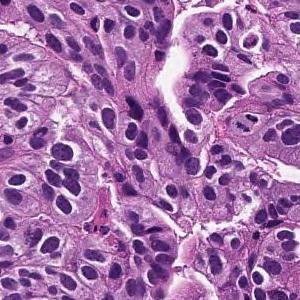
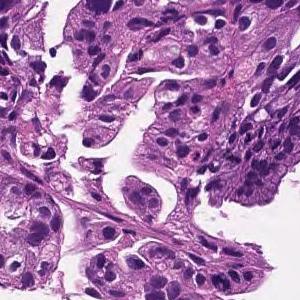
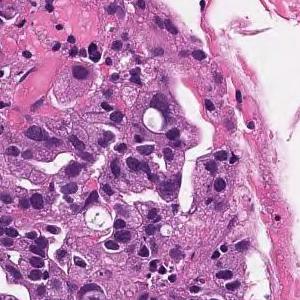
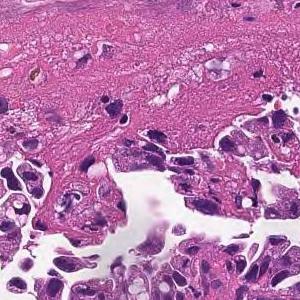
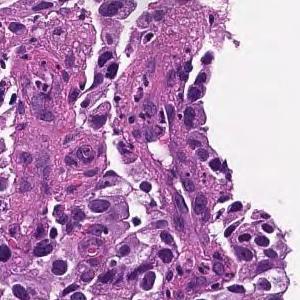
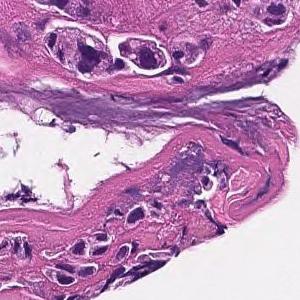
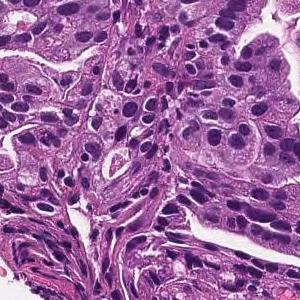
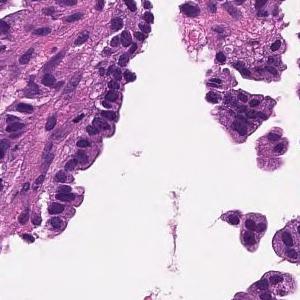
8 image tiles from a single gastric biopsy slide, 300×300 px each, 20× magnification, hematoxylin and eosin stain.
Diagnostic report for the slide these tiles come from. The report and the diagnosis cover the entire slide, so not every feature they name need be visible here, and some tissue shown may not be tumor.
Medium to small, irregular glandular ducts are formed in the superficial epithelium, and in some cases, the glandular ducts are fused to show solid alveolar lesions and infiltrating tumor tissue is observed. Moderately to poorly differentiated adenocarcinoma.
